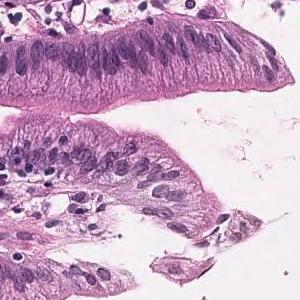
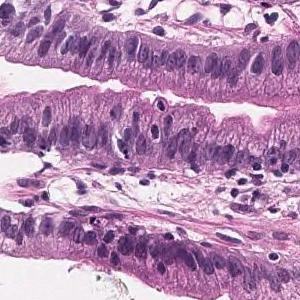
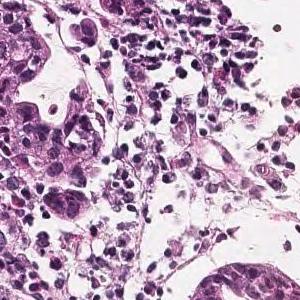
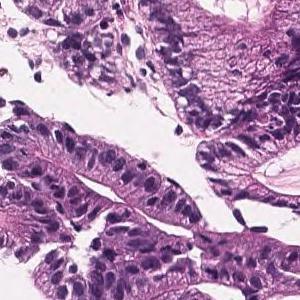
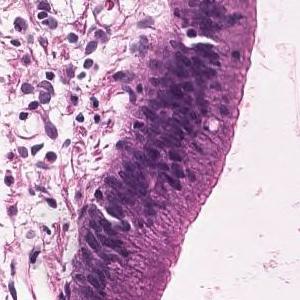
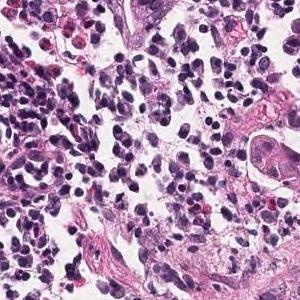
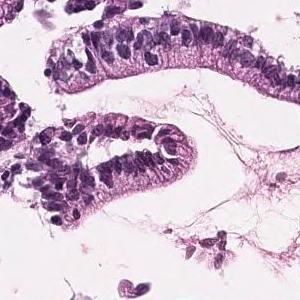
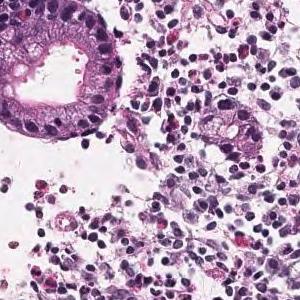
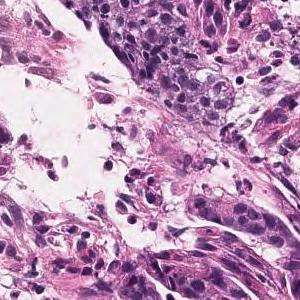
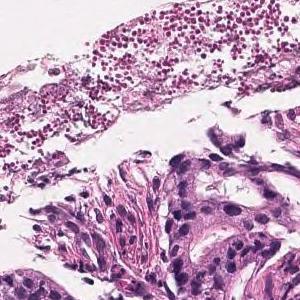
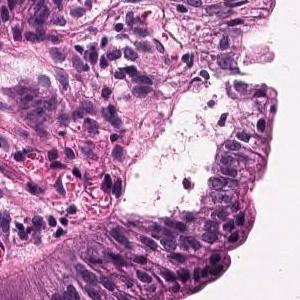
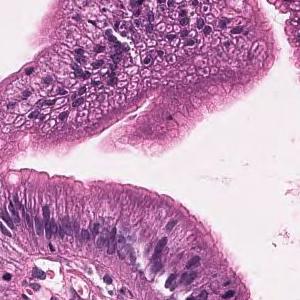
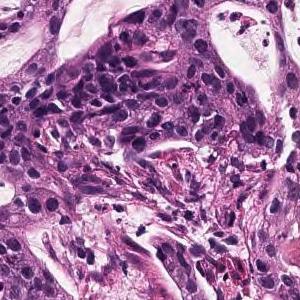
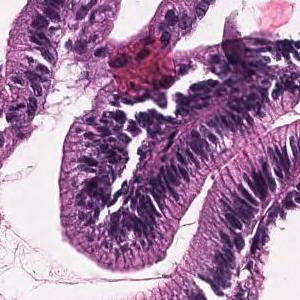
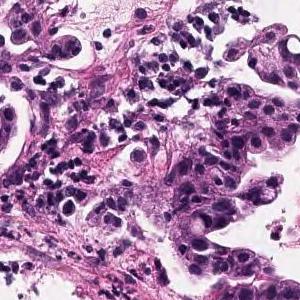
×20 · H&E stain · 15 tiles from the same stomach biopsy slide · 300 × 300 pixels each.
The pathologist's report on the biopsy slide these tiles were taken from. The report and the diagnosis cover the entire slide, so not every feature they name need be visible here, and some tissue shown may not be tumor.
Tumor tissue that grows invasively while the short atypical epithelium forms small ducts is observed. moderately differentiated tubular adenocarcinoma
